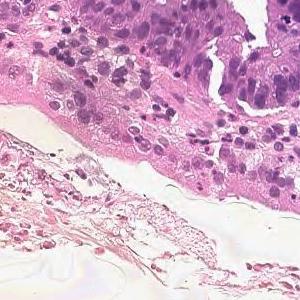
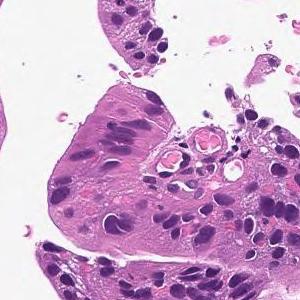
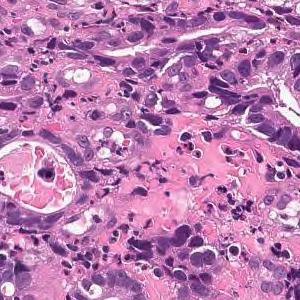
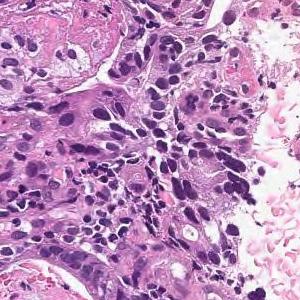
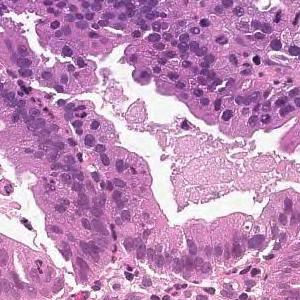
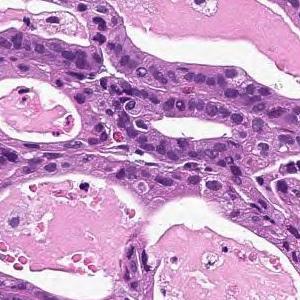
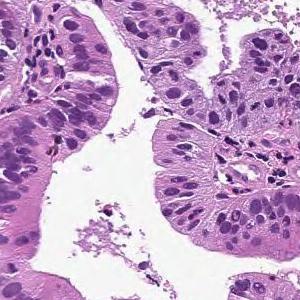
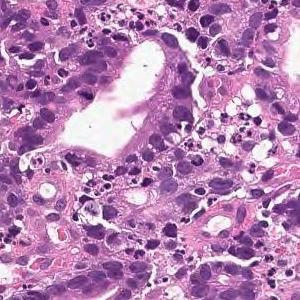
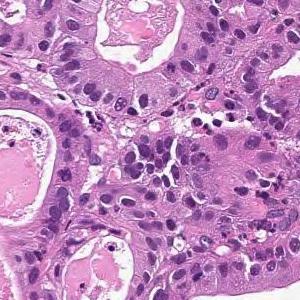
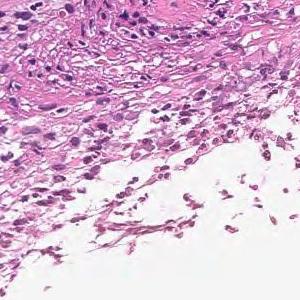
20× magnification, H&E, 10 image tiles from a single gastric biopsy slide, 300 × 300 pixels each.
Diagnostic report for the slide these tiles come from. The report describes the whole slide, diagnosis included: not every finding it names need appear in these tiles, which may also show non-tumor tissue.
From the superficial epithelium to the muscularis mucosae, tumor tissue consisting of medium-sized and irregular glandular ducts infiltrating is observed. Well differentiated tubular adenocarcinoma
